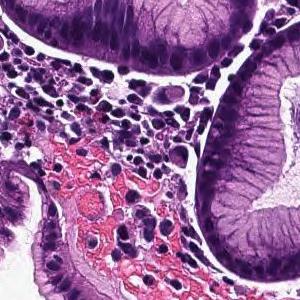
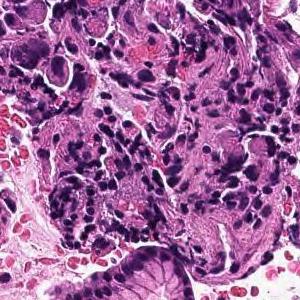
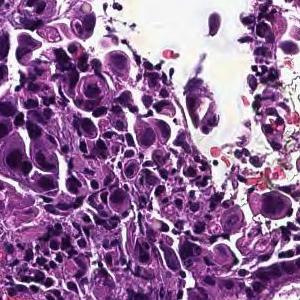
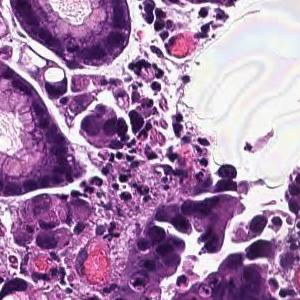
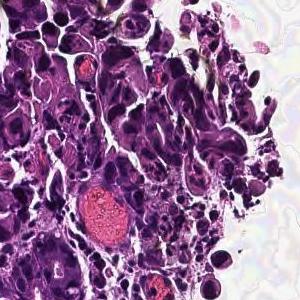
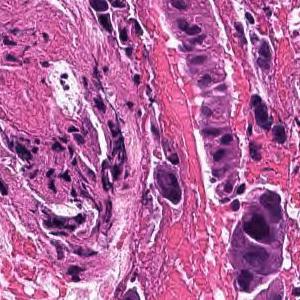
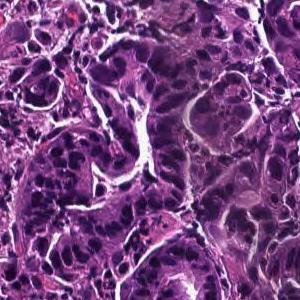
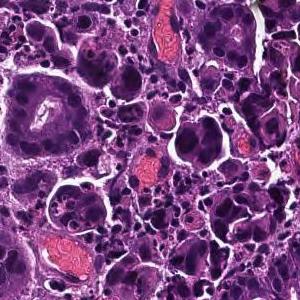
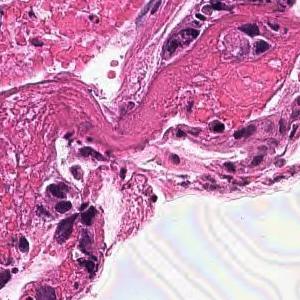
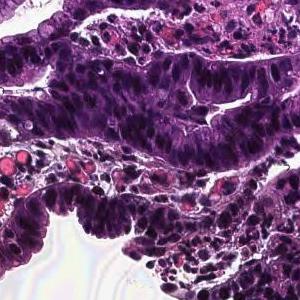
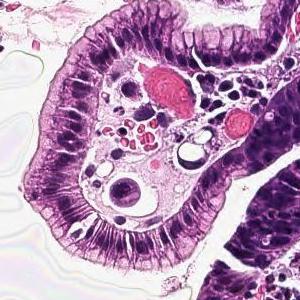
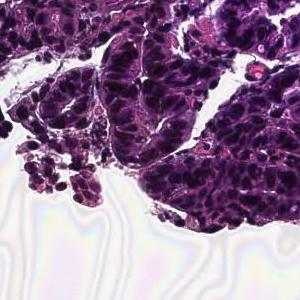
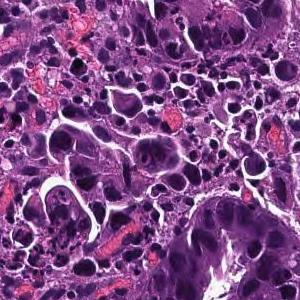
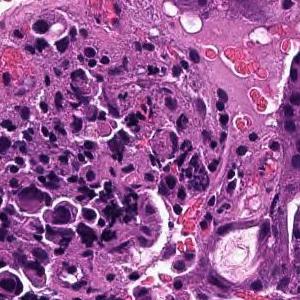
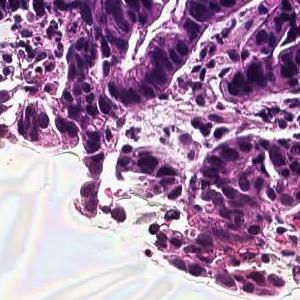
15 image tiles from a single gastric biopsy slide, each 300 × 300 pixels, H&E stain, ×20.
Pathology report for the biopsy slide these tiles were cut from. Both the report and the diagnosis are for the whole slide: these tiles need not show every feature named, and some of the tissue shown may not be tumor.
Tumor tissue consisting of medium-sized, cord-like or irregular glandular infiltration is observed in the superficial epithelium. Poorly differentiated adenocarcinoma, non-solid type or moderately differentiated tubular adenocarcinoma
Histologic type: Moderately to poorly differentiated adenocarcinoma.
The non-solid type named here is a Japanese Classification of Gastric Carcinoma category.
